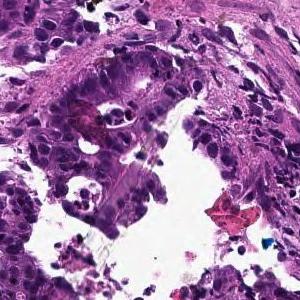
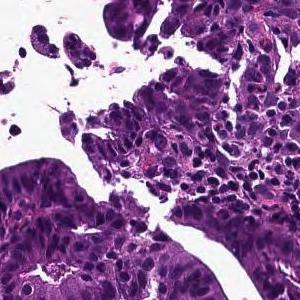
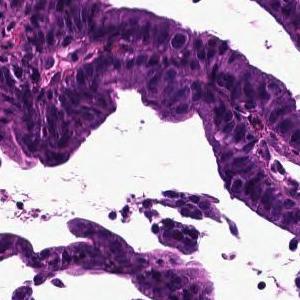
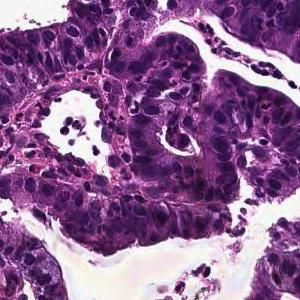
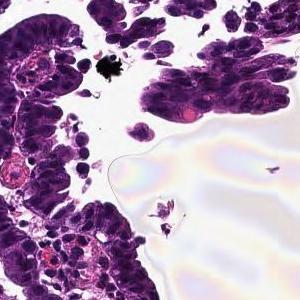
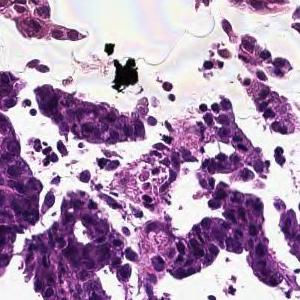
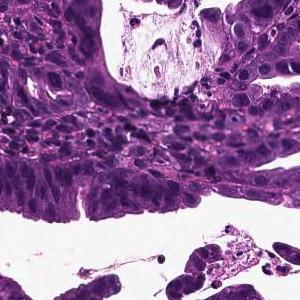
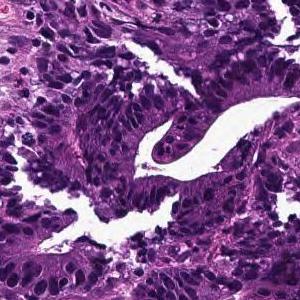
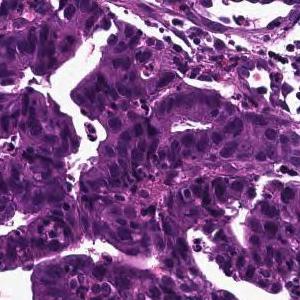
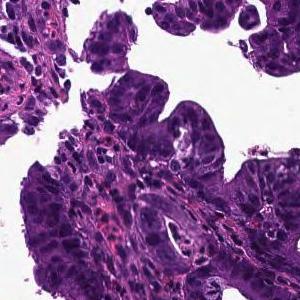
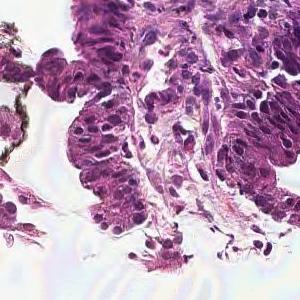
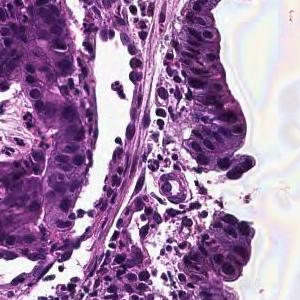
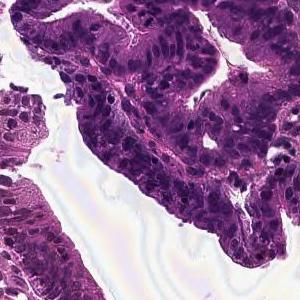
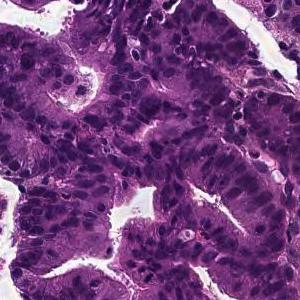
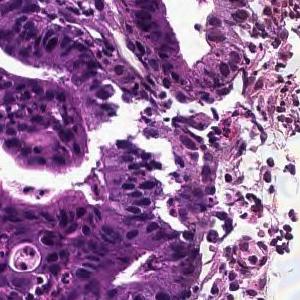
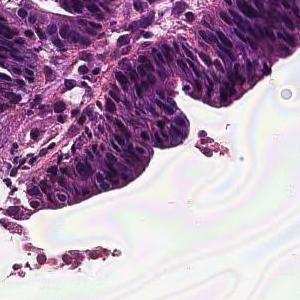
H&E stain, 20× magnification, 16 tiles from the same stomach biopsy slide.
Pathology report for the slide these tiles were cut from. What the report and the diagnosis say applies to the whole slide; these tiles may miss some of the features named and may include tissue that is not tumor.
Tumor cells are large, highly columnar, large club-shaped nuclei, and are associated with chromatin aggregation. Papillary adenocarcinoma.
